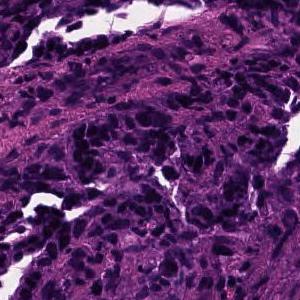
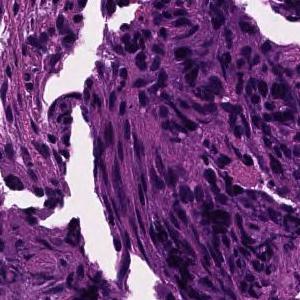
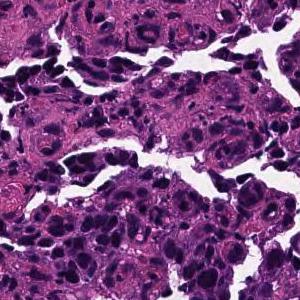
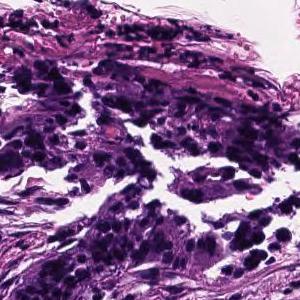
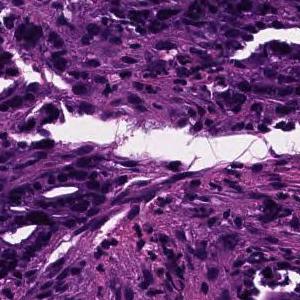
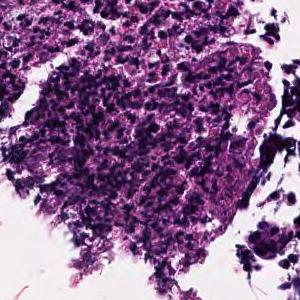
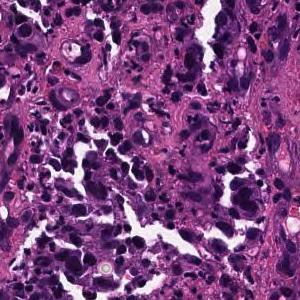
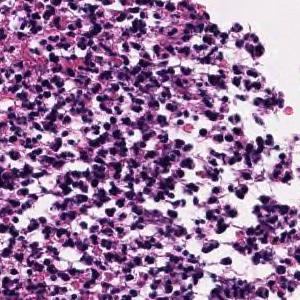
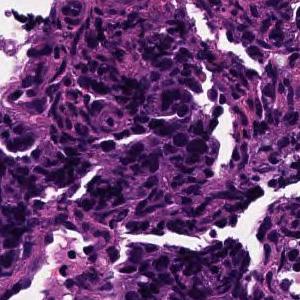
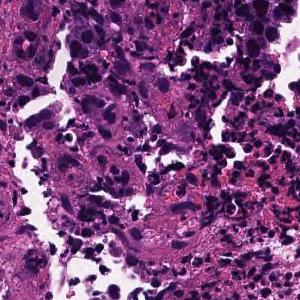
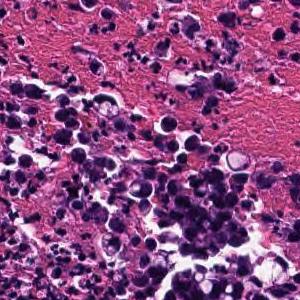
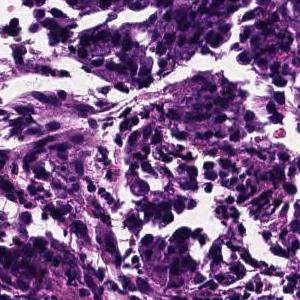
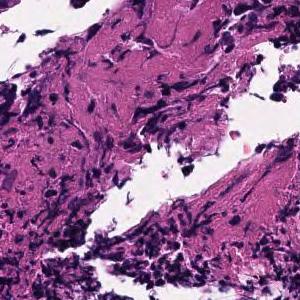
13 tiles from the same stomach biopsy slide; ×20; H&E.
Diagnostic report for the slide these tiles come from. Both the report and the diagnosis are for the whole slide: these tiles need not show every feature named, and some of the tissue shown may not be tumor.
In the superficial epithelium, tumor tissue that invades by forming medium-sized to small, irregular ducts is observed. moderately differentiated tubular adenocarcinoma.
